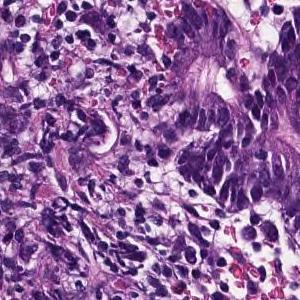
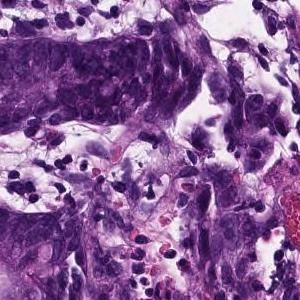
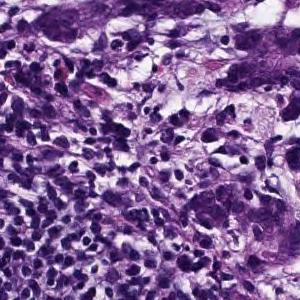
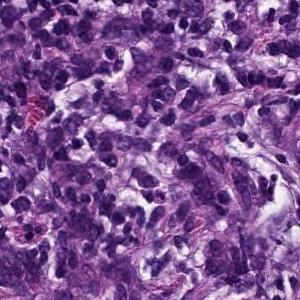
4 tiles from the same stomach biopsy slide · 300×300 px each · scanned at ×20 · H&E.
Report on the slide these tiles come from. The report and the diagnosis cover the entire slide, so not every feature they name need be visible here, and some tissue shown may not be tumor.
Tumor tissue consisting of medium-sized, cord-like or irregular glandular infiltration is observed in the superficial epithelium. Poorly differentiated adenocarcinoma, non-solid type or moderately differentiated tubular adenocarcinoma
Tumor subtype: moderately to poorly differentiated adenocarcinoma.
The term "non-solid type" comes from the Japanese Classification of Gastric Carcinoma.
